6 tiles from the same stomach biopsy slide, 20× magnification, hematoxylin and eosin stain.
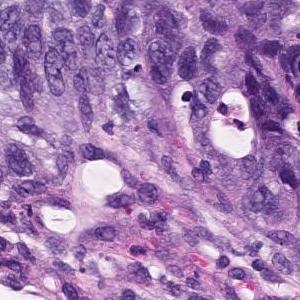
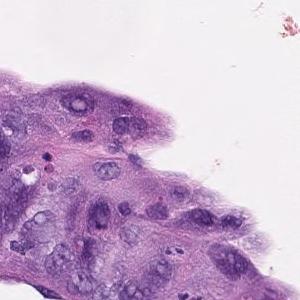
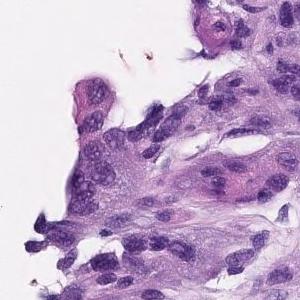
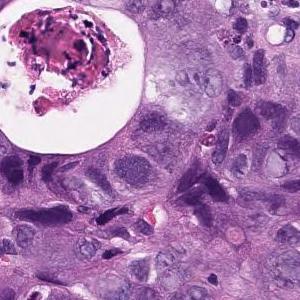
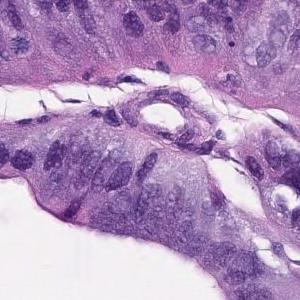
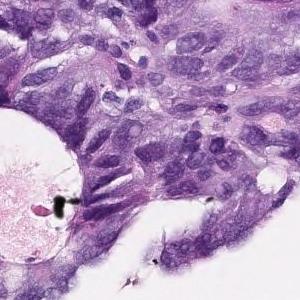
Diagnostic report for the slide these tiles come from. The findings and the diagnosis refer to the entire slide; these tiles show only part of it, possibly with non-tumor tissue, and may not show every feature named.
In the superficial epithelium, tumor tissue that invades by forming medium-sized to small, irregular ducts is observed. Moderately differentiated adenocarcinoma.
Histologic type: Moderately differentiated tubular adenocarcinoma.
